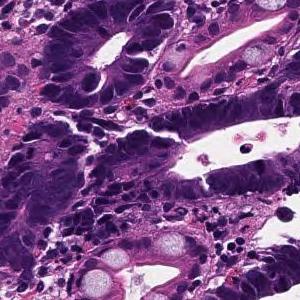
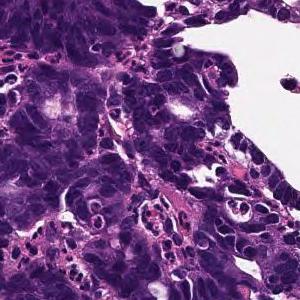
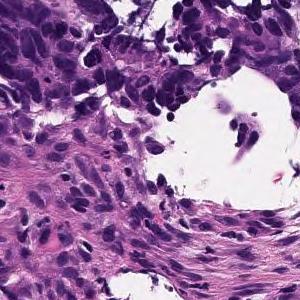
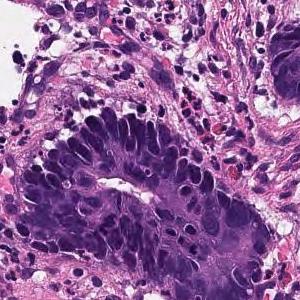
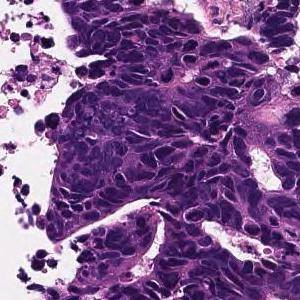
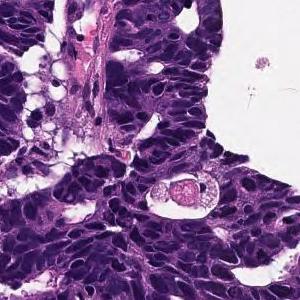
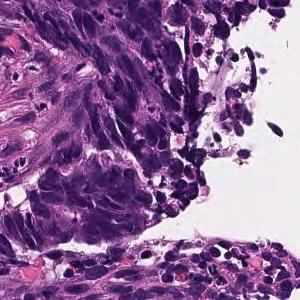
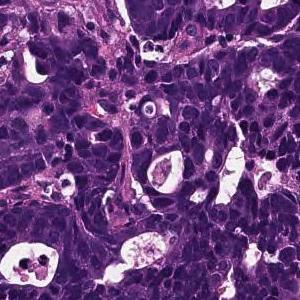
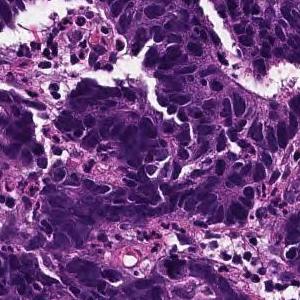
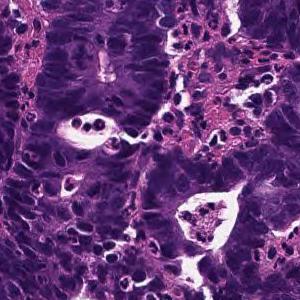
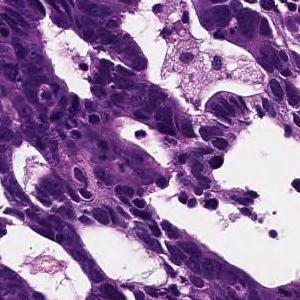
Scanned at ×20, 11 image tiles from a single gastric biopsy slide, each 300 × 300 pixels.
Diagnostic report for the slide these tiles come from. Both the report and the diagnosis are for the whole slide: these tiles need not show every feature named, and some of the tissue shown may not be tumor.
In the superficial epithelium, tumor tissue that invades by forming medium-sized to small, irregular ducts is observed. moderately differentiated tubular adenocarcinoma.
